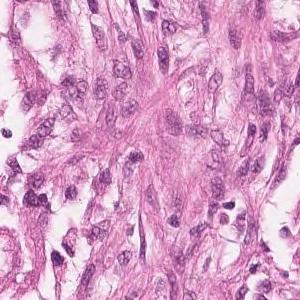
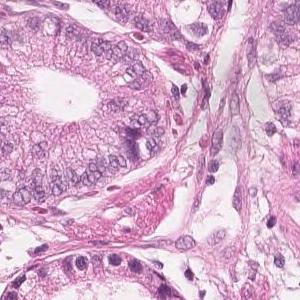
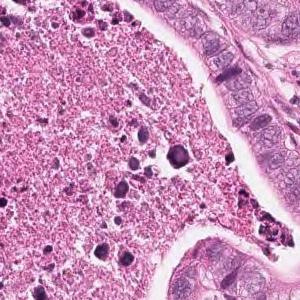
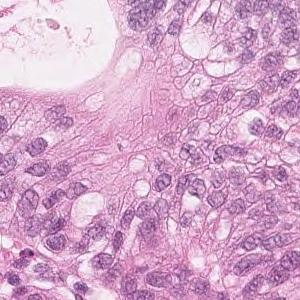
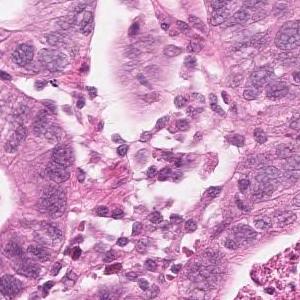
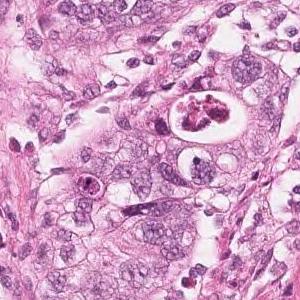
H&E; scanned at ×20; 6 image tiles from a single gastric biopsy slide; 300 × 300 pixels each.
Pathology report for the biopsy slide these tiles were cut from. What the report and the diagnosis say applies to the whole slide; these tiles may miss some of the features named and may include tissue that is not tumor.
Highly columnar epithelium with disordered nuclear localization proliferates showing fusion ductal construction. moderately differentiated tubular adenocarcinoma
